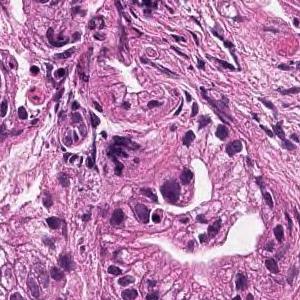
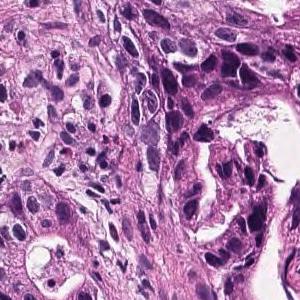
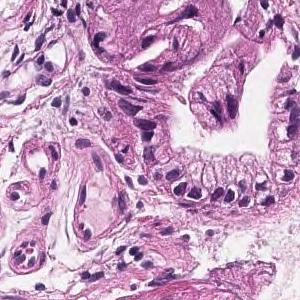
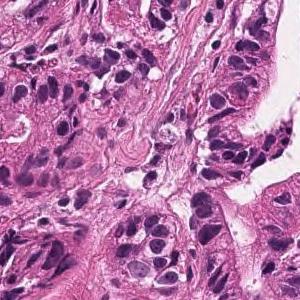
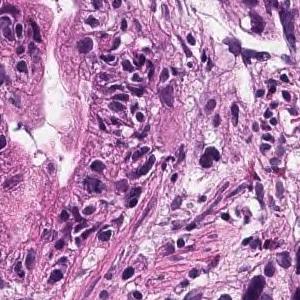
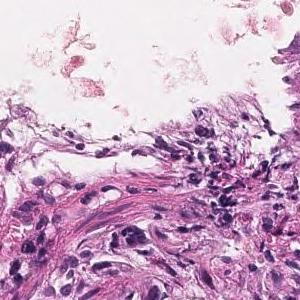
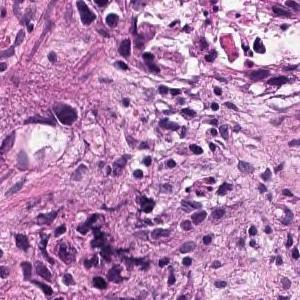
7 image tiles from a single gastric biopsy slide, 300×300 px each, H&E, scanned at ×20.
Pathology report for the biopsy slide these tiles were cut from. What the report and the diagnosis say applies to the whole slide; these tiles may miss some of the features named and may include tissue that is not tumor.
From the superficial epithelium to the muscularis mucosae, tumor tissue infiltrating by forming medium-sized irregular gland ducts is observed. Large tumor cells exhibit large nucleus and hyperchromatism. Well differentiated tubular adenocarcinoma
